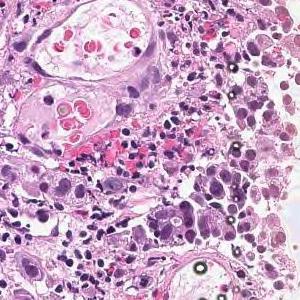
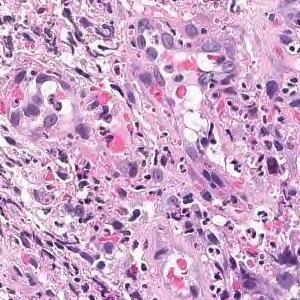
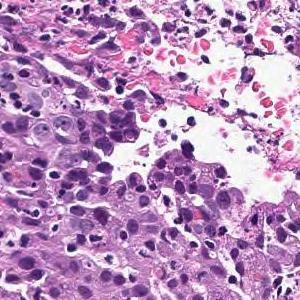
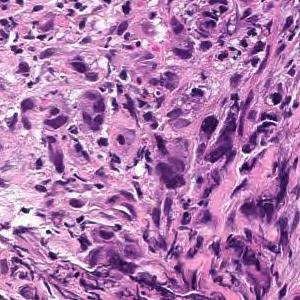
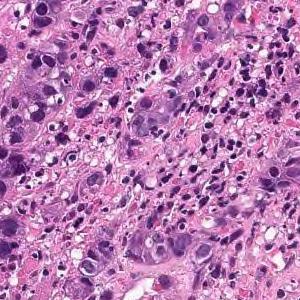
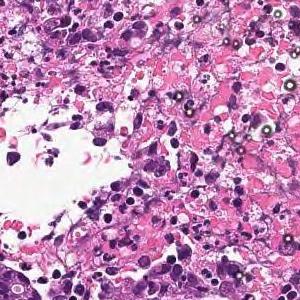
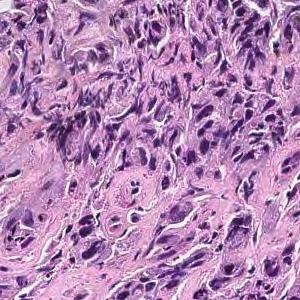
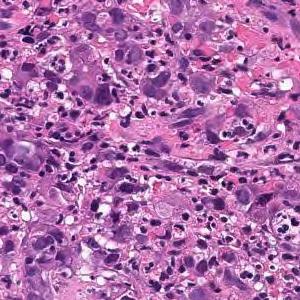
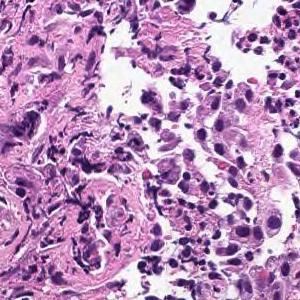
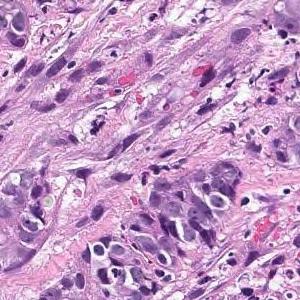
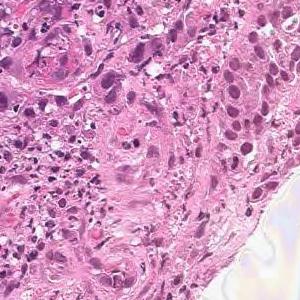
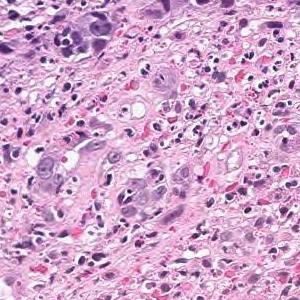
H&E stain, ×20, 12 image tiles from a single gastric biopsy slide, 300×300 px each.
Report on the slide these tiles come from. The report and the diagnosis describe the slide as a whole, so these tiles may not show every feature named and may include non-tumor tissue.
Tumor tissue consisting of cord-like or small, irregular glandular ducts fused and infiltrated is observed in the superficial epithelium. Poorly differentiated adenocarcinoma, non-solid type
The term "non-solid type" comes from the Japanese Classification of Gastric Carcinoma.
